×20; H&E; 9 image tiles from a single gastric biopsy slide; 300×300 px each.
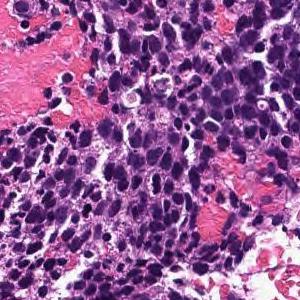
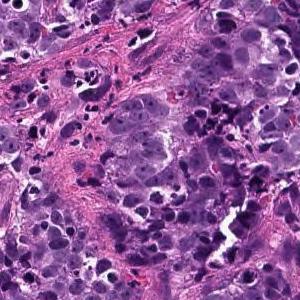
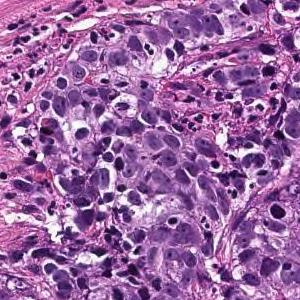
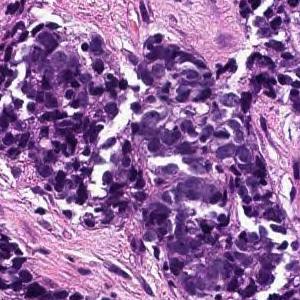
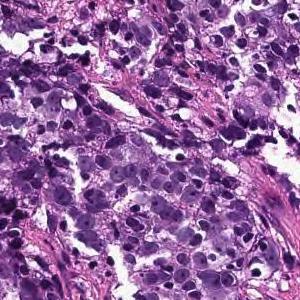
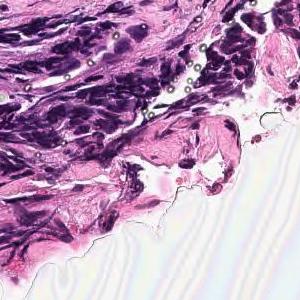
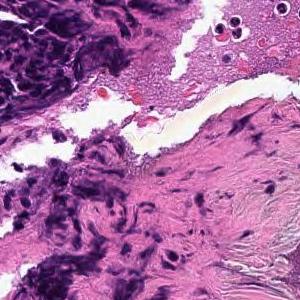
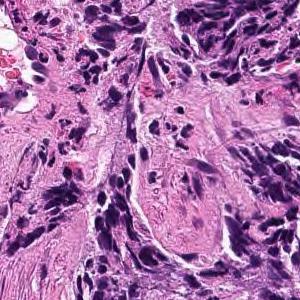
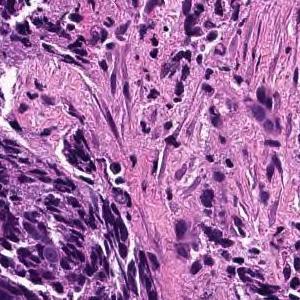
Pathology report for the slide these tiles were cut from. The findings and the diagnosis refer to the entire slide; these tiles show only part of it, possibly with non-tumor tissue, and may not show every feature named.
The superficial epithelium shows a large sheet or alveolar shape, and tumor tissue infiltrating without irregular ducts is observed. Poorly differentiated adenocarcinoma, solid-type
Classified as poorly differentiated adenocarcinoma, solid type (Japanese Classification of Gastric Carcinoma). The WHO 2019 equivalent is tubular adenocarcinoma, poorly differentiated.
